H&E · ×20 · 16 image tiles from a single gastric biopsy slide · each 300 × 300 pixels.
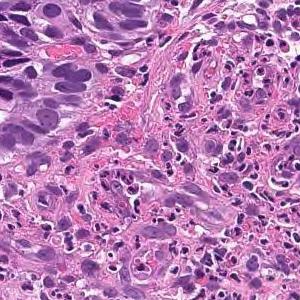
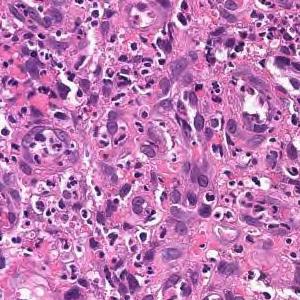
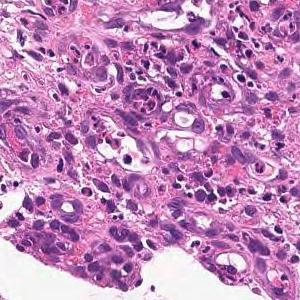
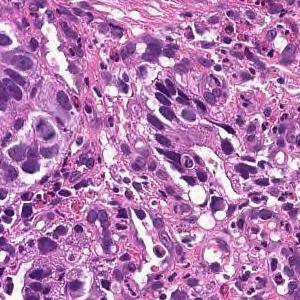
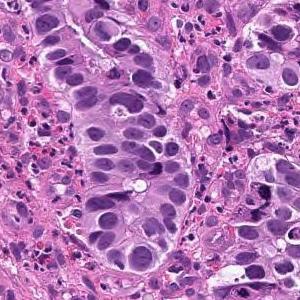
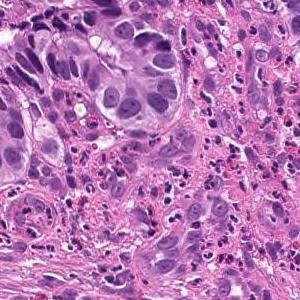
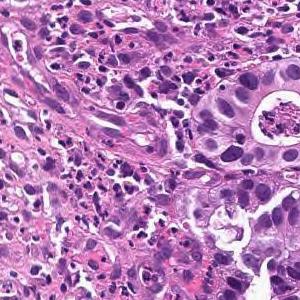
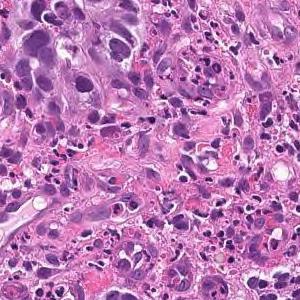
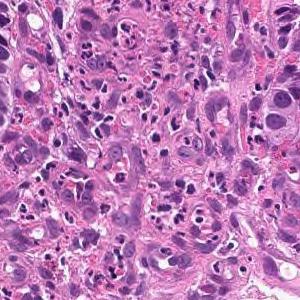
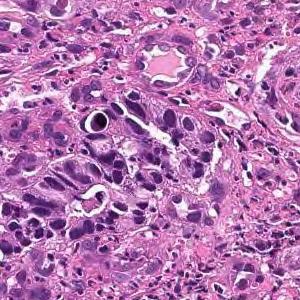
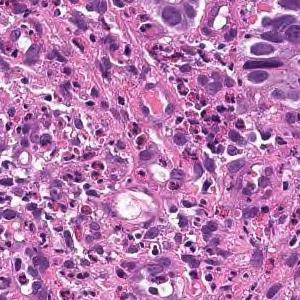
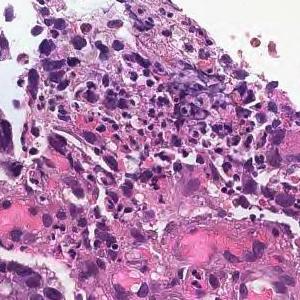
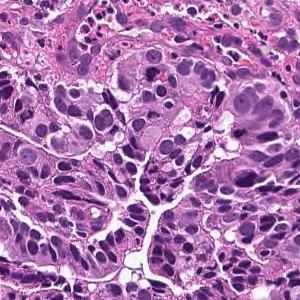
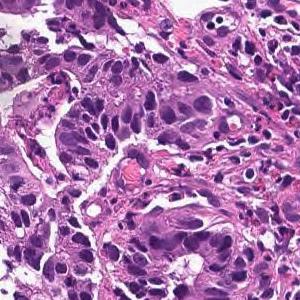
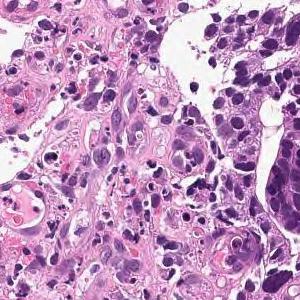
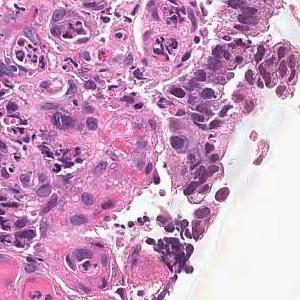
Diagnostic report for the slide these tiles come from. The report describes the whole slide, diagnosis included: not every finding it names need appear in these tiles, which may also show non-tumor tissue.
On the superficial epithelium, tumor tissue consisting of large irregular glandular ducts partially fused and infiltrated is observed. Well to moderately differentiated tubular adenocarcinoma (well differentiated tubular adenocarcinoma, moderately differentiated tubular adenocarcinoma)
Classified as well to moderately differentiated tubular adenocarcinoma.
